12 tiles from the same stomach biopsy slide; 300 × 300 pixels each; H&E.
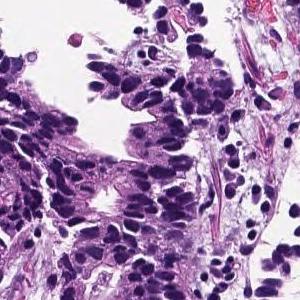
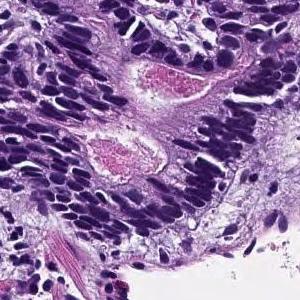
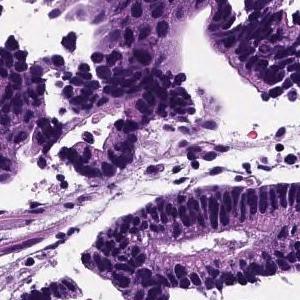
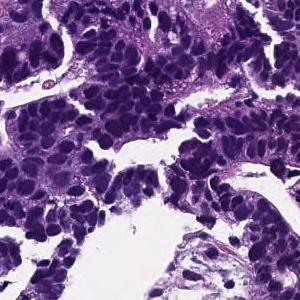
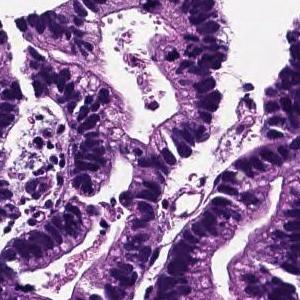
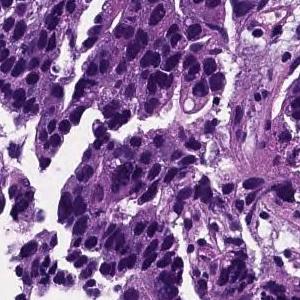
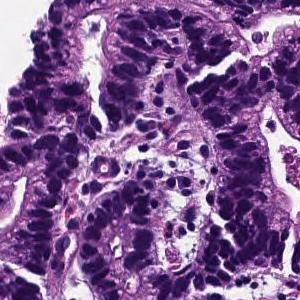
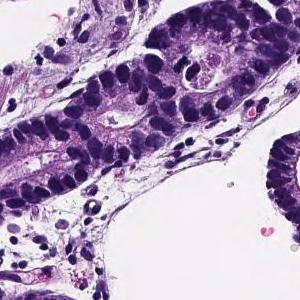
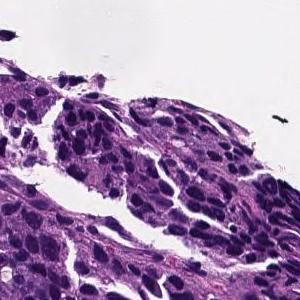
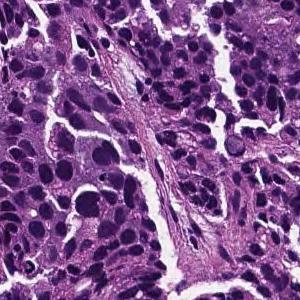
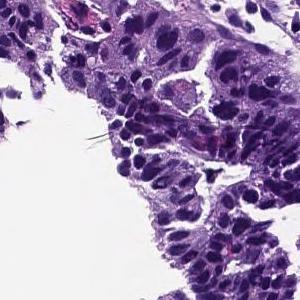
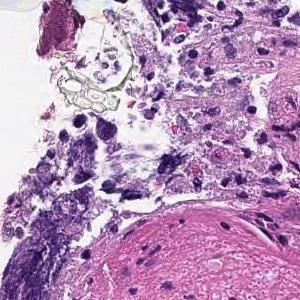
The pathologist's report on the biopsy slide these tiles were taken from. What the report and the diagnosis say applies to the whole slide; these tiles may miss some of the features named and may include tissue that is not tumor.
From the superficial epithelium to the muscularis mucosae, tumor tissue consisting of medium-sized and irregular glandular ducts infiltrating is observed. Well differentiated tubular adenocarcinoma
